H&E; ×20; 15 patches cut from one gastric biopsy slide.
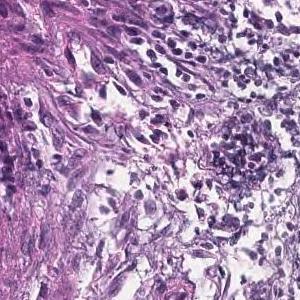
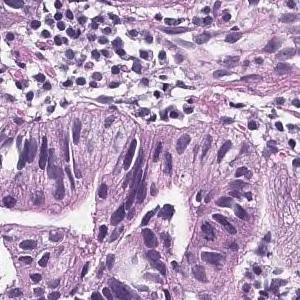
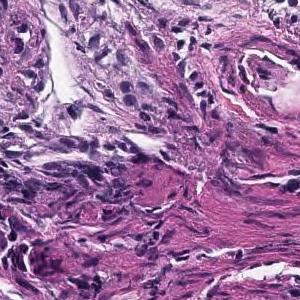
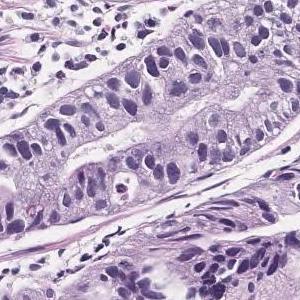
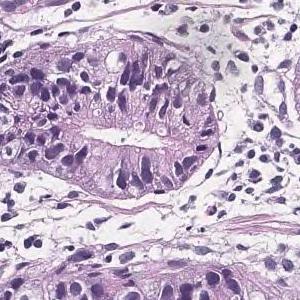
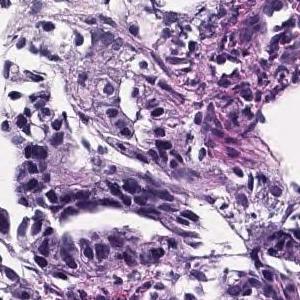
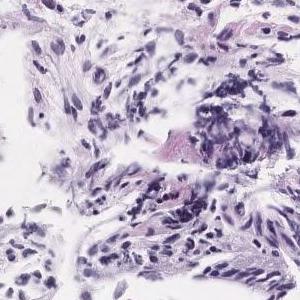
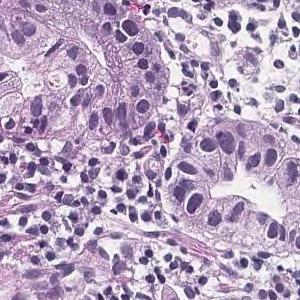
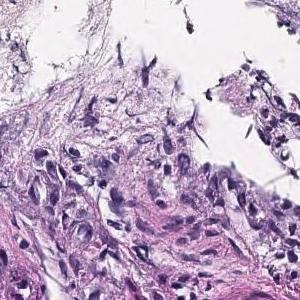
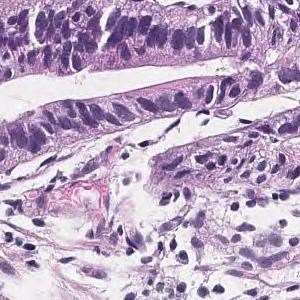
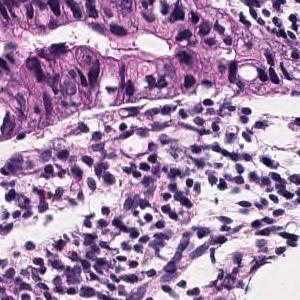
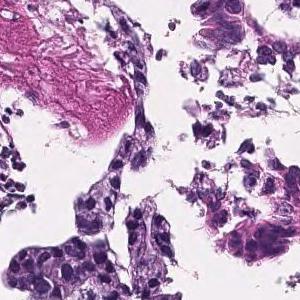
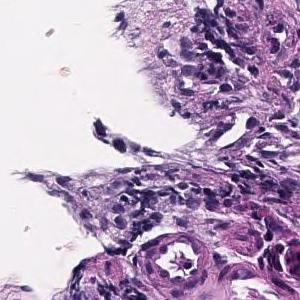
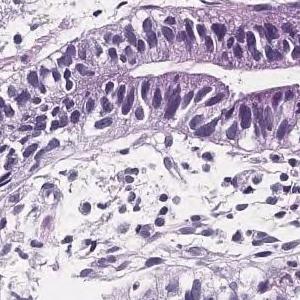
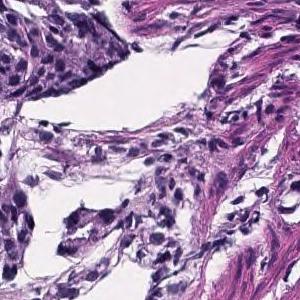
Report on the slide these tiles come from. The report and the diagnosis cover the entire slide, so not every feature they name need be visible here, and some tissue shown may not be tumor.
Tumor cells are large, highly columnar, large club-shaped nuclei, and are associated with chromatin aggregation. Papillary adenocarcinoma.
